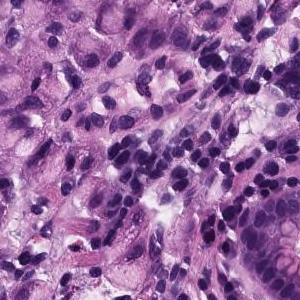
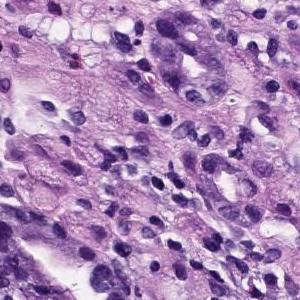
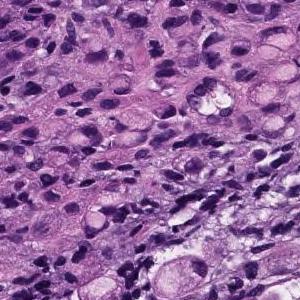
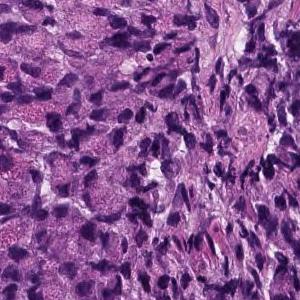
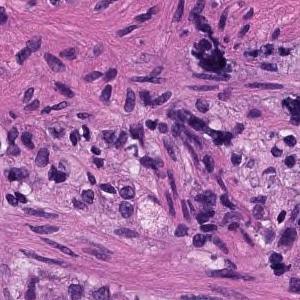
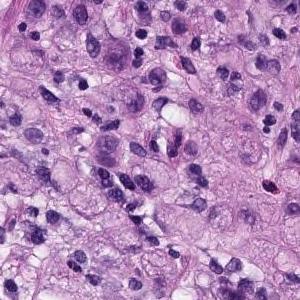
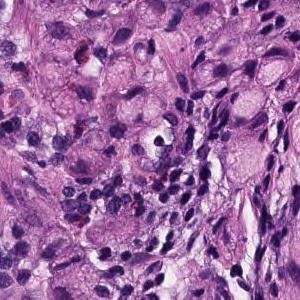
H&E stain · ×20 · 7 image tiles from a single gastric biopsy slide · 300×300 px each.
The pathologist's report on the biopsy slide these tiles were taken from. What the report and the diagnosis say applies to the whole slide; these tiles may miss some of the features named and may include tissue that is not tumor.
The superficial epithelium shows a large sheet-like shape, and some tumor tissue infiltrates with small irregular ducts. Poorly differentiated adenocarcinoma, solid-type
Subtype: Poorly differentiated adenocarcinoma, solid type. This name comes from the Japanese Classification of Gastric Carcinoma; the WHO 2019 classification calls it tubular adenocarcinoma, poorly differentiated.
